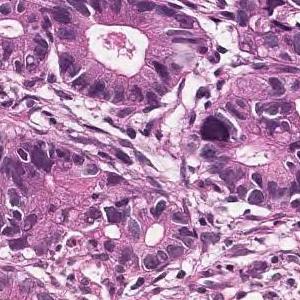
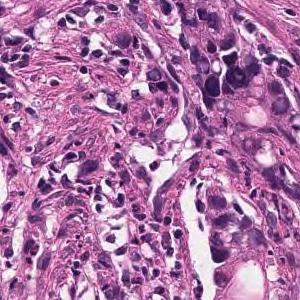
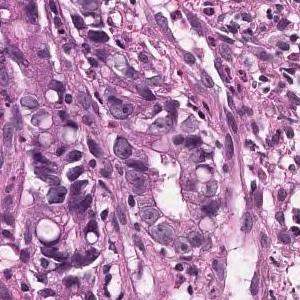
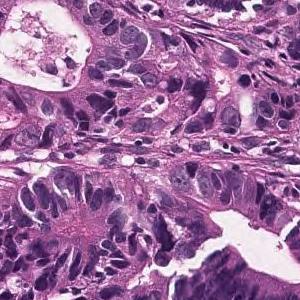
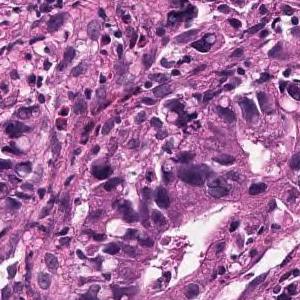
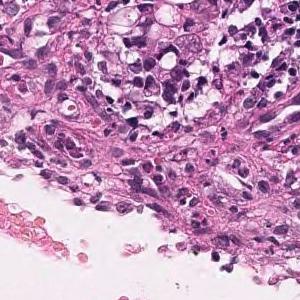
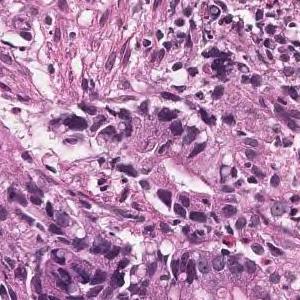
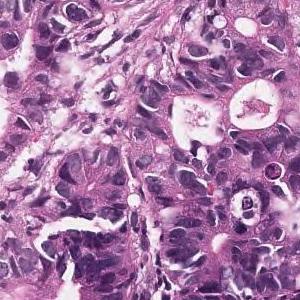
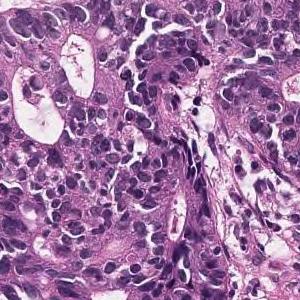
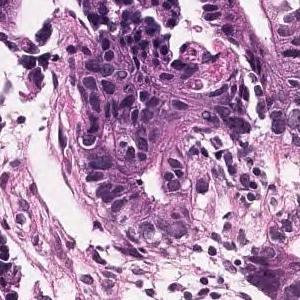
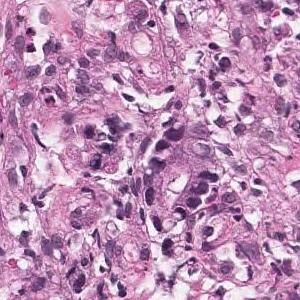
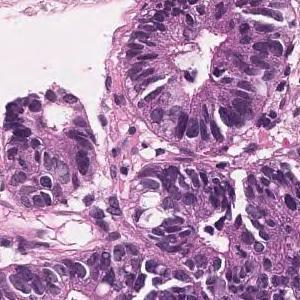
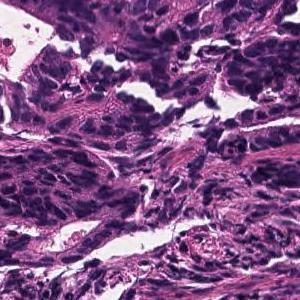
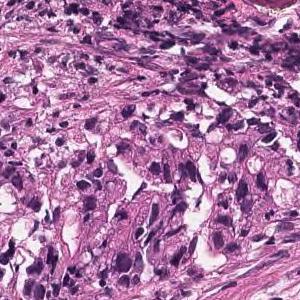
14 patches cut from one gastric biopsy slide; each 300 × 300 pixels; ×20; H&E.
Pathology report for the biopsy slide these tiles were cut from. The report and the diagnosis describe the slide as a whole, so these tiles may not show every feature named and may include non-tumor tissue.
In the superficial epithelium, tumor tissue is found in which medium-sized irregular gland ducts fuse with each other and infiltrate. moderately differentiated tubular adenocarcinoma
